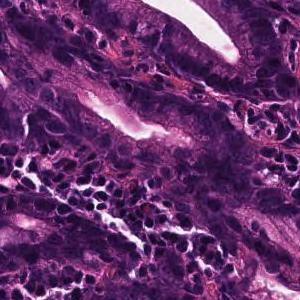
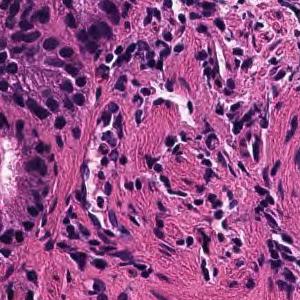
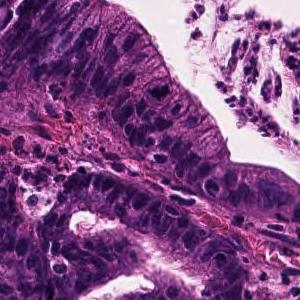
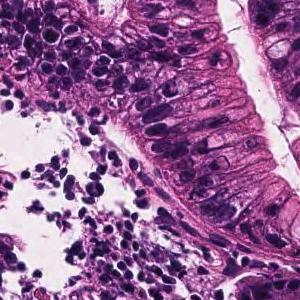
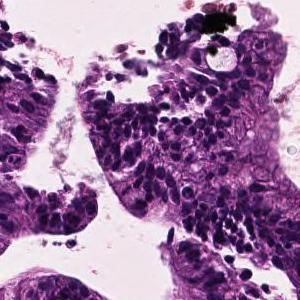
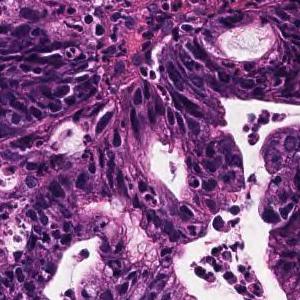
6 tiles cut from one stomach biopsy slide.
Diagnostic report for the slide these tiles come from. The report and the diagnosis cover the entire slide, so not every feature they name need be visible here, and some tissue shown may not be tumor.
Tumor cells are large, highly columnar, large club-shaped nuclei, and are associated with chromatin aggregation. Papillary adenocarcinoma.
